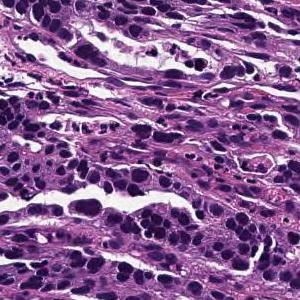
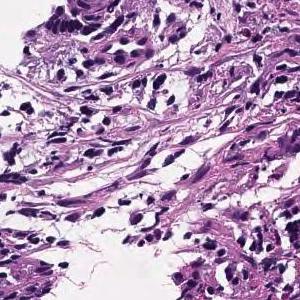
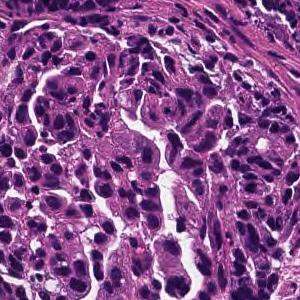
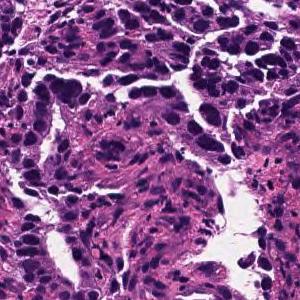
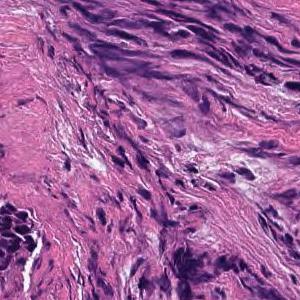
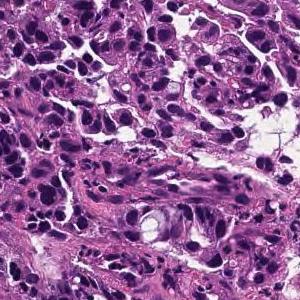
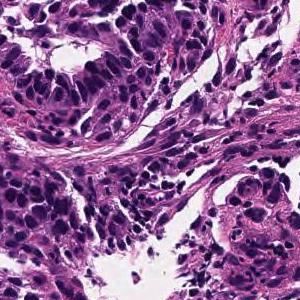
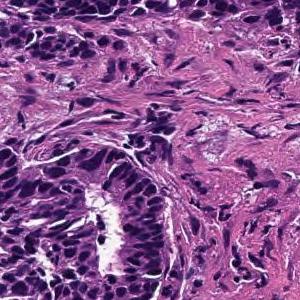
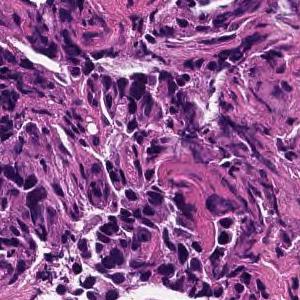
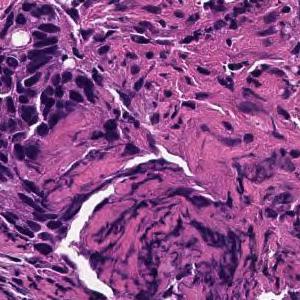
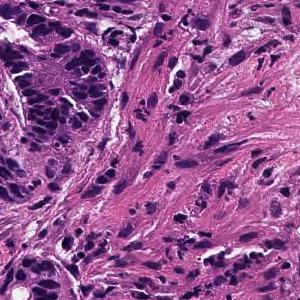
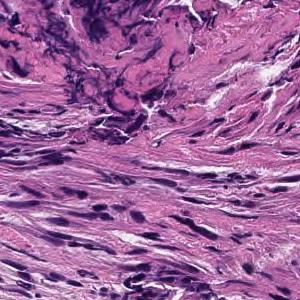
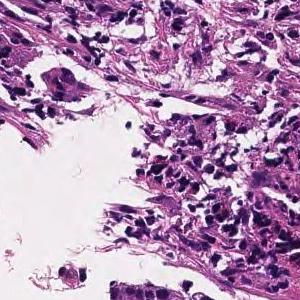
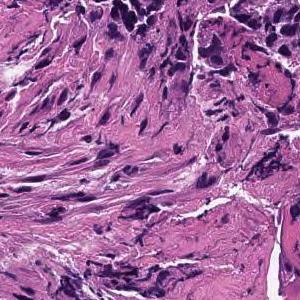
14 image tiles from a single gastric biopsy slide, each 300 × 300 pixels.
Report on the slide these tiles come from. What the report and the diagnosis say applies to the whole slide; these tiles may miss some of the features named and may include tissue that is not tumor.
In the superficial epithelium, tumor tissue that invades by forming medium-sized to small, irregular ducts is observed. moderately differentiated tubular adenocarcinoma.
